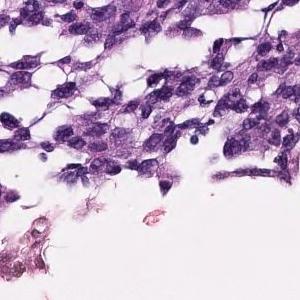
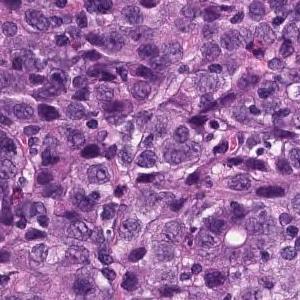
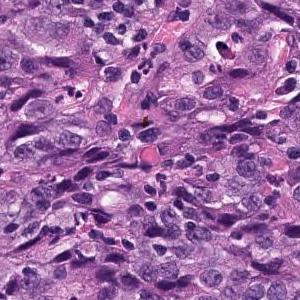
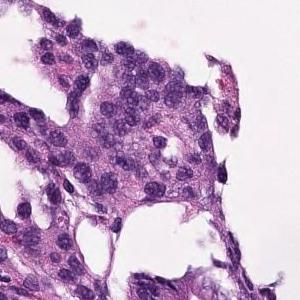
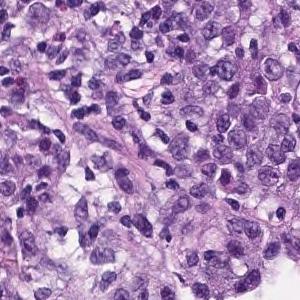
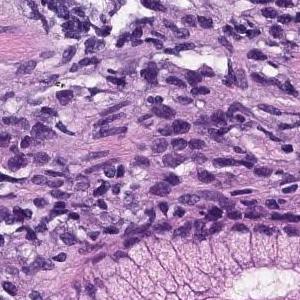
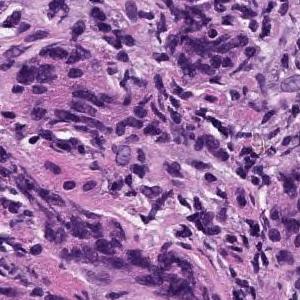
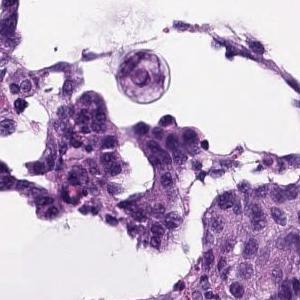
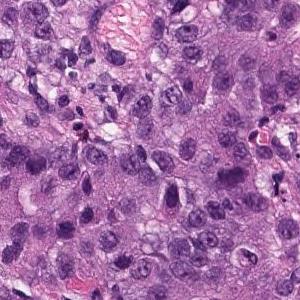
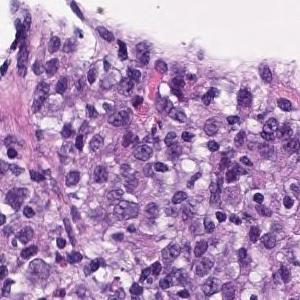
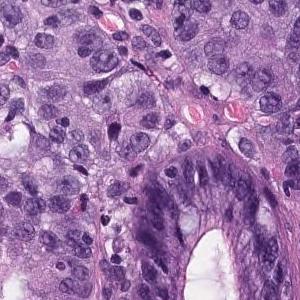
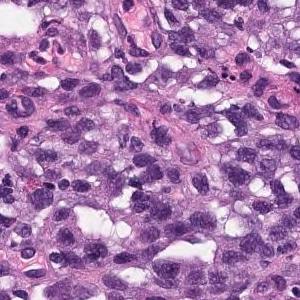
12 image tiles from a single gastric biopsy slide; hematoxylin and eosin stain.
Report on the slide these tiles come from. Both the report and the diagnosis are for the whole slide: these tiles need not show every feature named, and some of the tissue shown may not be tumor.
In the superficial epithelium, tumor tissue that invades by forming medium-sized to small, irregular ducts is observed. Moderately differentiated adenocarcinoma.
Subtype: Moderately differentiated tubular adenocarcinoma.
